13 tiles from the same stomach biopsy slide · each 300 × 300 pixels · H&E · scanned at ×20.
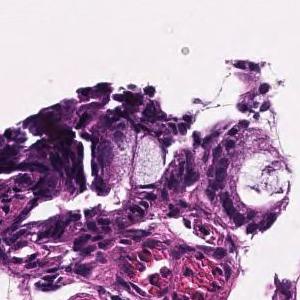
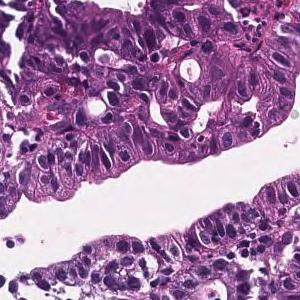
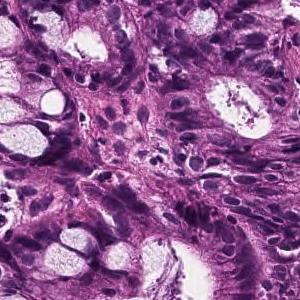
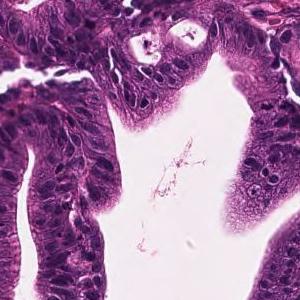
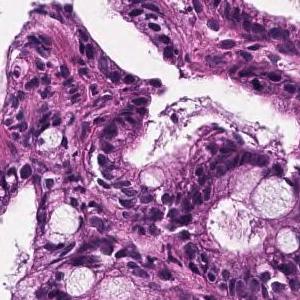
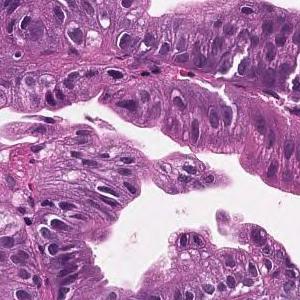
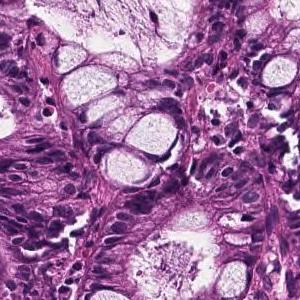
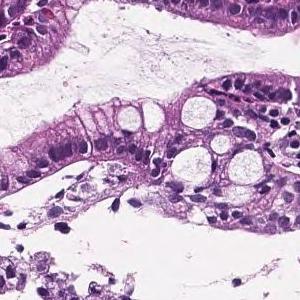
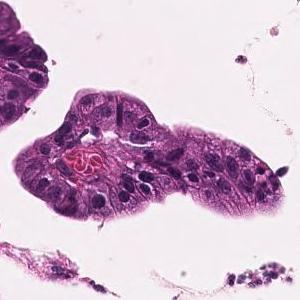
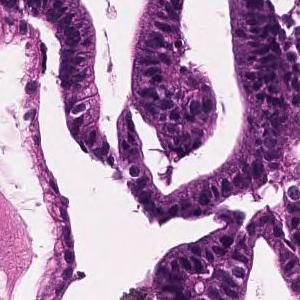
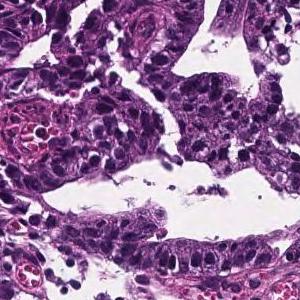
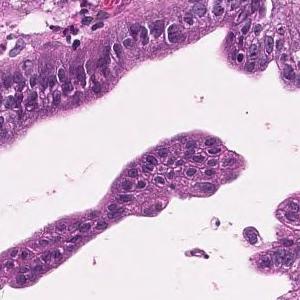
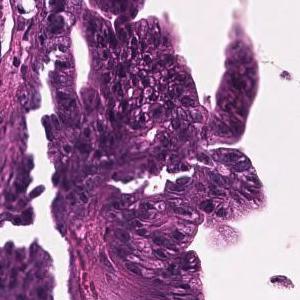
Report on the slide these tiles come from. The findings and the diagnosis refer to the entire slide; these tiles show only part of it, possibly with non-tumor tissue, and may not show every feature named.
In the superficial epithelium, tumor tissue that invades by forming medium-sized to small, irregular ducts is observed. Well differentiated tubular adenocarcinoma.
